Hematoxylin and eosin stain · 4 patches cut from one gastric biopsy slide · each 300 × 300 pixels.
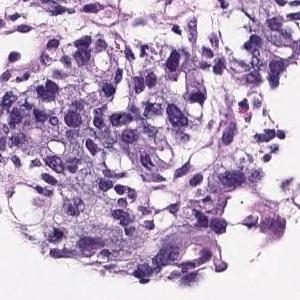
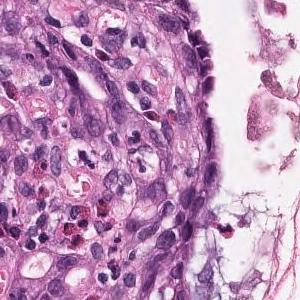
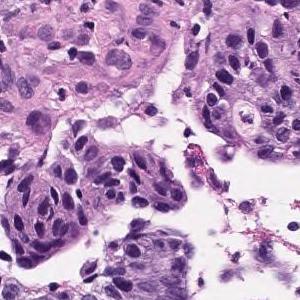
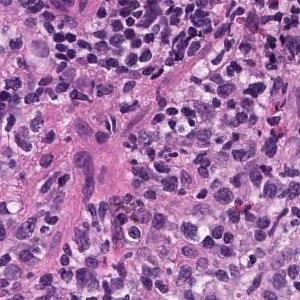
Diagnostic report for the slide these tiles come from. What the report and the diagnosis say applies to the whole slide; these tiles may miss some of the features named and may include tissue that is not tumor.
Atypical ducts proliferating with obscure duct construction and solid sequences is observed. Moderately to poorly differentiated adenocarcinoma.
